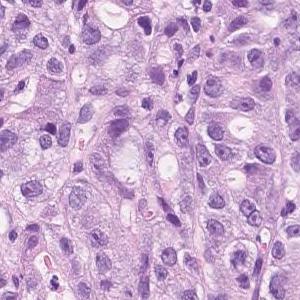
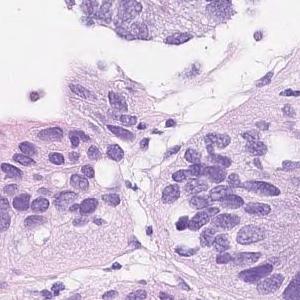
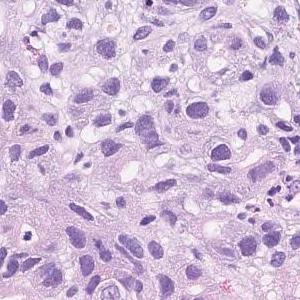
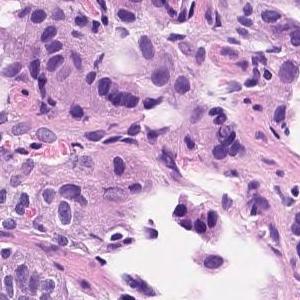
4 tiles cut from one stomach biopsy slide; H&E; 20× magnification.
The pathologist's report on the biopsy slide these tiles were taken from. Both the report and the diagnosis are for the whole slide: these tiles need not show every feature named, and some of the tissue shown may not be tumor.
In the superficial epithelium, tumor tissue that invades by forming medium-sized to small, irregular ducts is observed. Moderately to poorly differentiated adenocarcinoma
